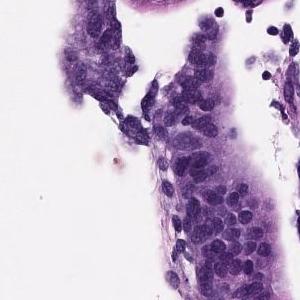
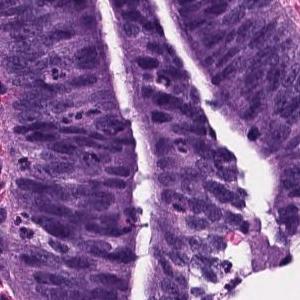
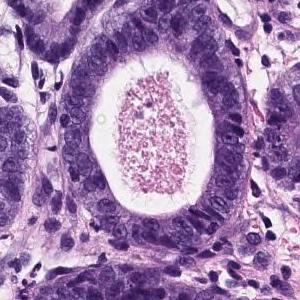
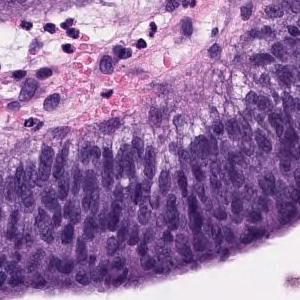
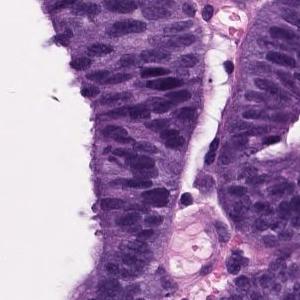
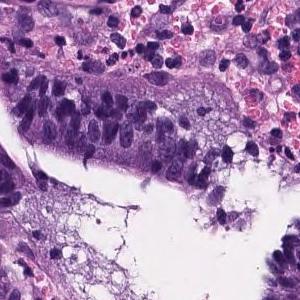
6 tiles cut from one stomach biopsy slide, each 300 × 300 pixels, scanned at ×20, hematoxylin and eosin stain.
The pathologist's report on the biopsy slide these tiles were taken from. The report and the diagnosis cover the entire slide, so not every feature they name need be visible here, and some tissue shown may not be tumor.
Papillo-tubular growth of atypical tubules with nuclear swelling is observed. Well differentiated tubular adenocarcinoma
